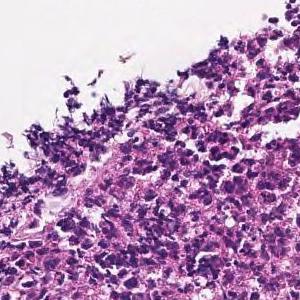
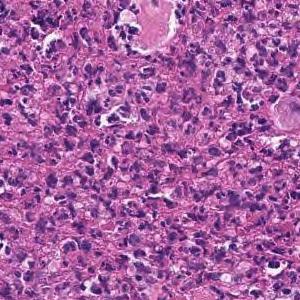
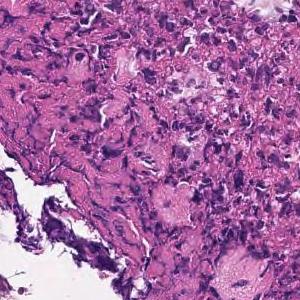
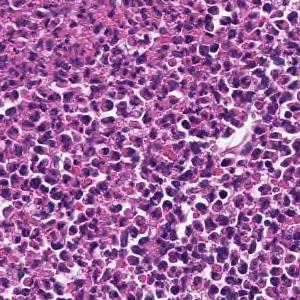
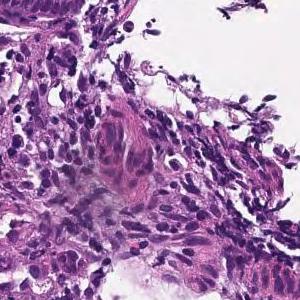
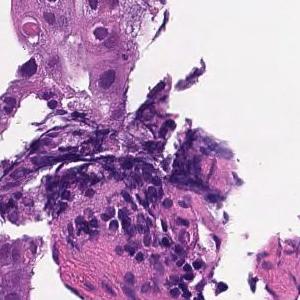
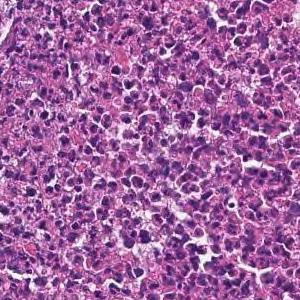
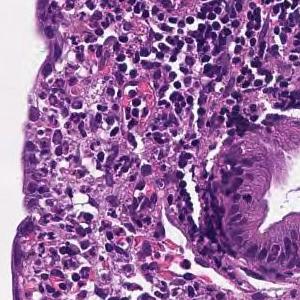
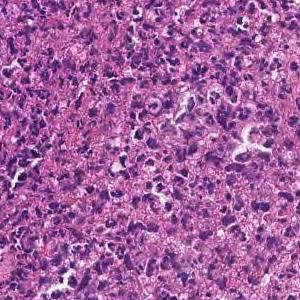
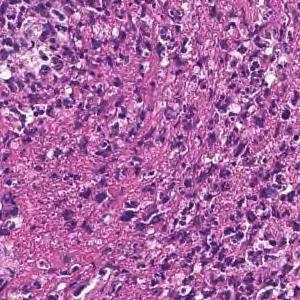
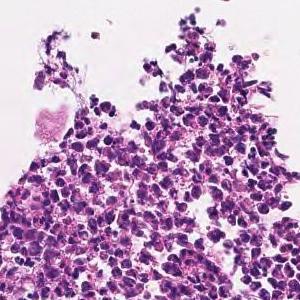
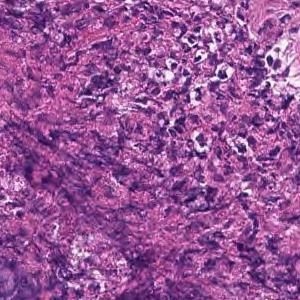
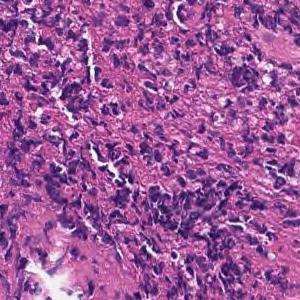
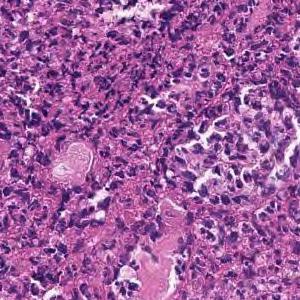
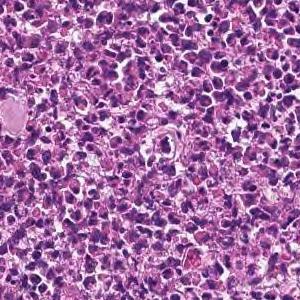
15 patches cut from one gastric biopsy slide; H&E.
Report on the slide these tiles come from. The report and the diagnosis cover the entire slide, so not every feature they name need be visible here, and some tissue shown may not be tumor.
In the superficial epithelium, tumor tissue infiltrated by partial fusion of medium-sized to small, irregular glandular ducts is observed. moderately differentiated tubular adenocarcinoma
